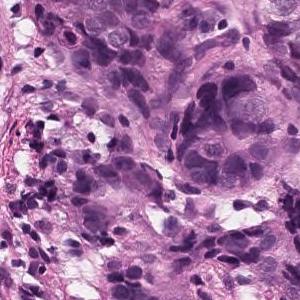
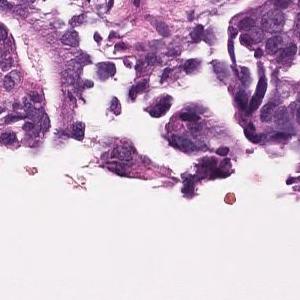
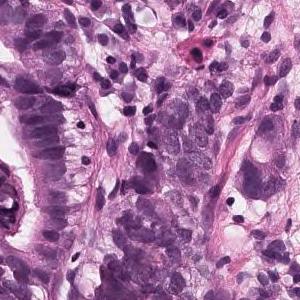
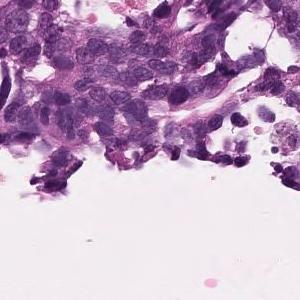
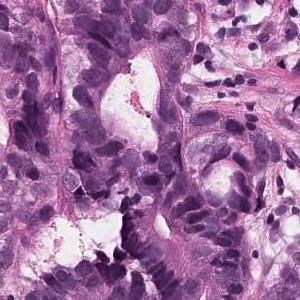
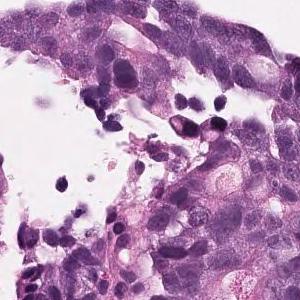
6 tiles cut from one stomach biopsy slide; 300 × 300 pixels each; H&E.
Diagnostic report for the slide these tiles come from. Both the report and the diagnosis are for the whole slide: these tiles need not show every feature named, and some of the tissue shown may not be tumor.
On the superficial epithelium, tumor tissue consisting of large, irregular glandular ducts partially fused and infiltrated is observed. Well to moderately differentiated tubular adenocarcinoma (well differentiated tubular adenocarcinoma, moderately differentiated tubular adenocarcinoma)
Classified as well to moderately differentiated tubular adenocarcinoma.
